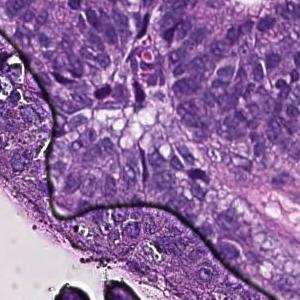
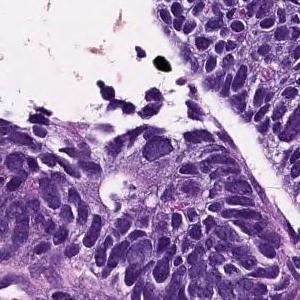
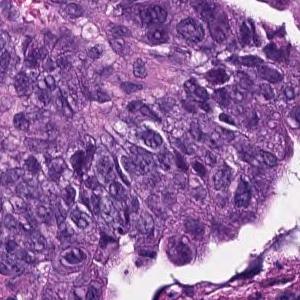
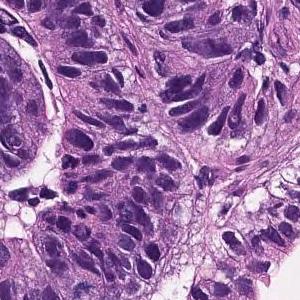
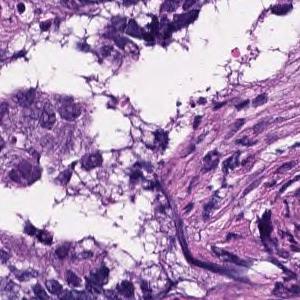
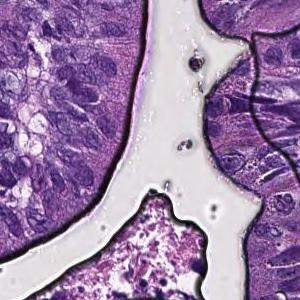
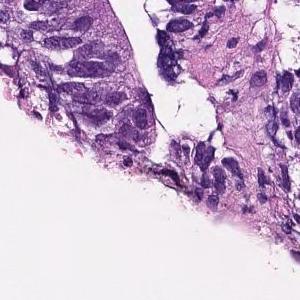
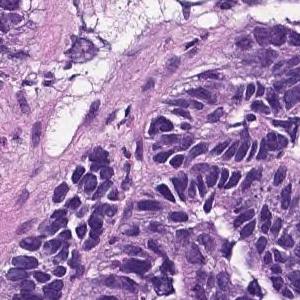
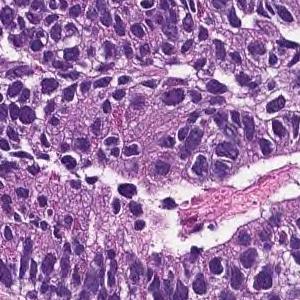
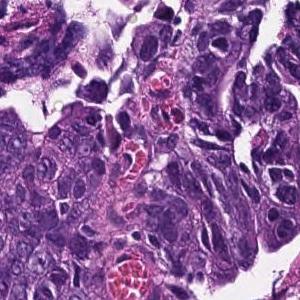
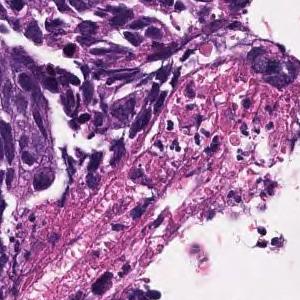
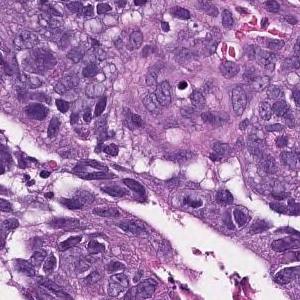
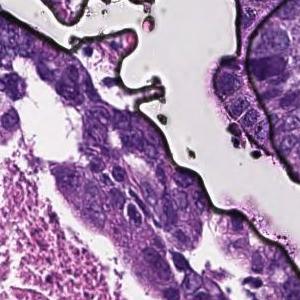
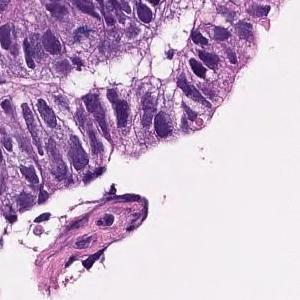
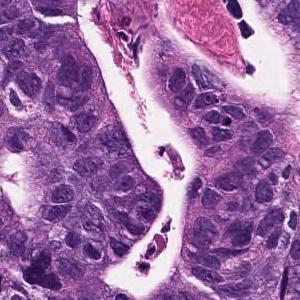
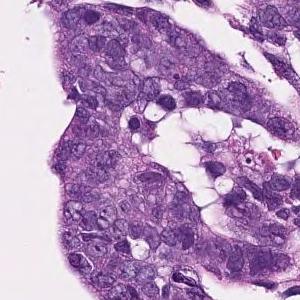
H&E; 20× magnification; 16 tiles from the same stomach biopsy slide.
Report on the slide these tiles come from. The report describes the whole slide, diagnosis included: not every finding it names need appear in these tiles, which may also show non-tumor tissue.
In the superficial epithelium, tumor tissue that invades by forming medium-sized to small, irregular ducts is observed. moderately differentiated tubular adenocarcinoma.
